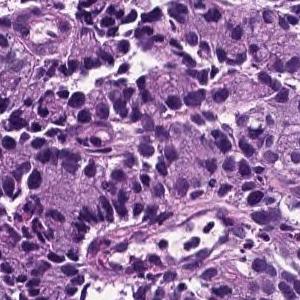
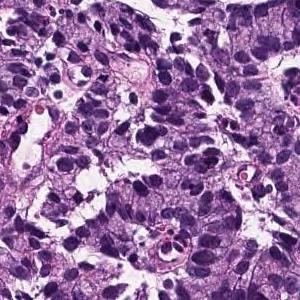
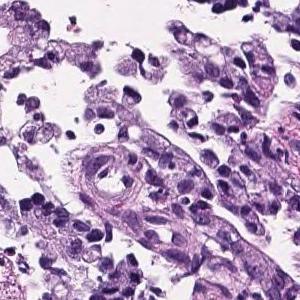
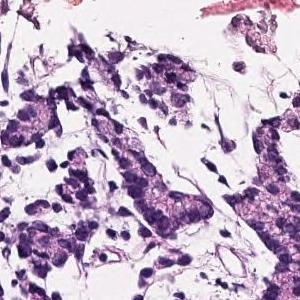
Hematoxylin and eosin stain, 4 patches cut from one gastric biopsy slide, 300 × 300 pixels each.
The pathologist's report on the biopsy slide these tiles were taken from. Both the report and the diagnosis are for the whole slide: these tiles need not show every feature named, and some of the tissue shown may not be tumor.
Tumor tissue infiltrated by irregular fusion of small cord-like structures is found in the superficial epithelium. Poorly differentiated adenocarcinoma, non-solid type
The non-solid type named here is a Japanese Classification of Gastric Carcinoma category.
